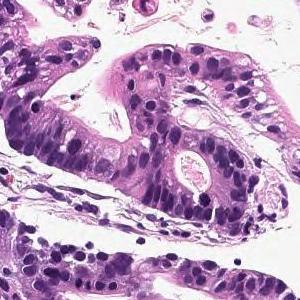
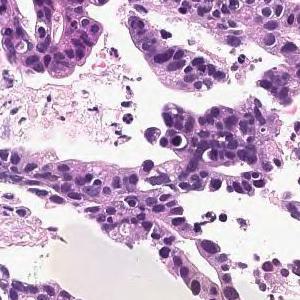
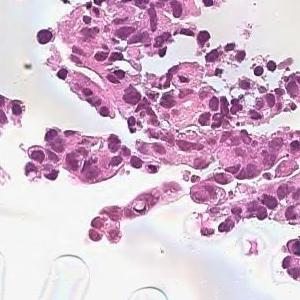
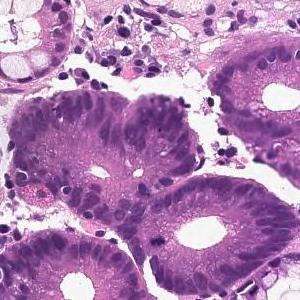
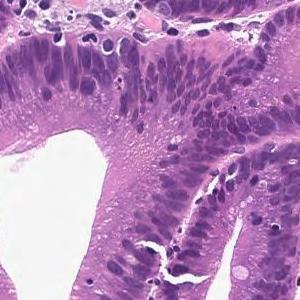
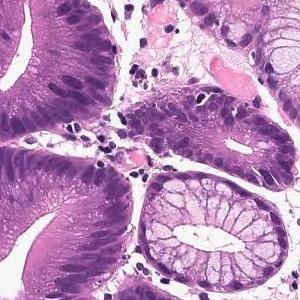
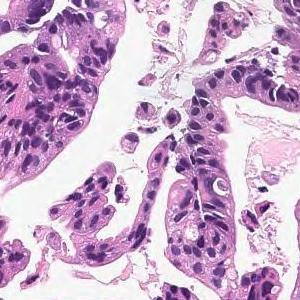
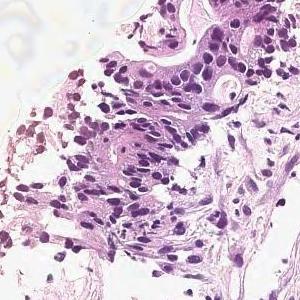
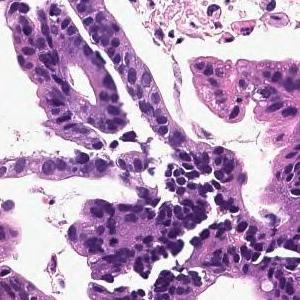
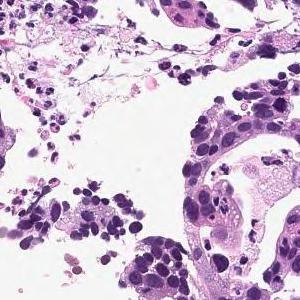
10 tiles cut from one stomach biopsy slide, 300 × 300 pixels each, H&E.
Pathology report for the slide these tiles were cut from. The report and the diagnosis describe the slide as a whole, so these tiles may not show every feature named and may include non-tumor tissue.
In the superficial epithelium, tumor tissue that invades by forming medium-sized to small, irregular ducts is observed. moderately differentiated tubular adenocarcinoma.
